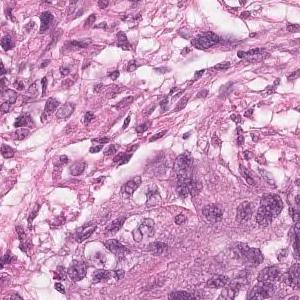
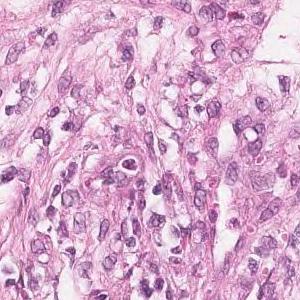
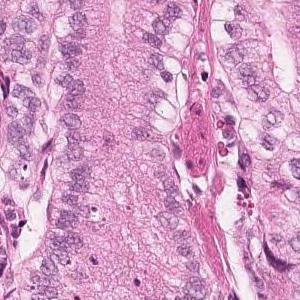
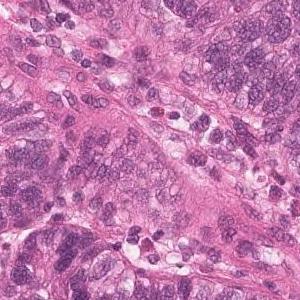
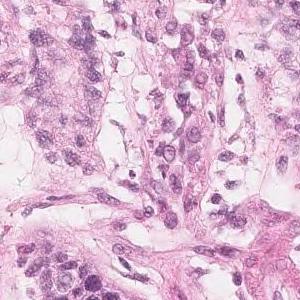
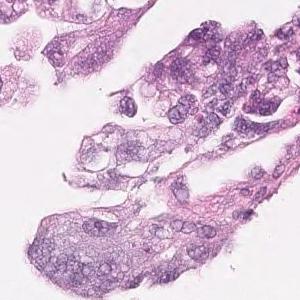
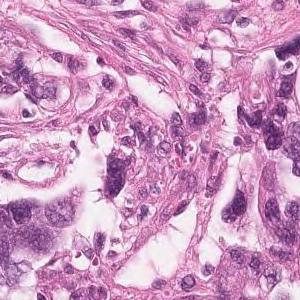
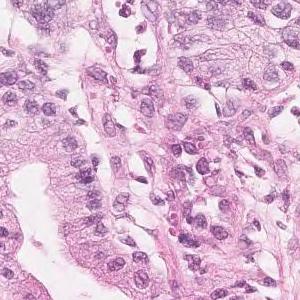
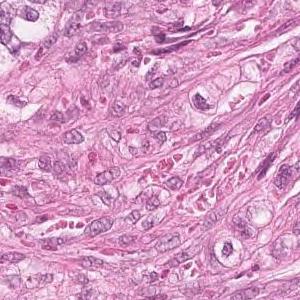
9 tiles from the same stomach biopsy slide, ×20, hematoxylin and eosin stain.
Pathology report for the slide these tiles were cut from. The report and the diagnosis describe the slide as a whole, so these tiles may not show every feature named and may include non-tumor tissue.
Highly columnar epithelium with disordered nuclear localization proliferates showing fusion ductal construction. moderately differentiated tubular adenocarcinoma
